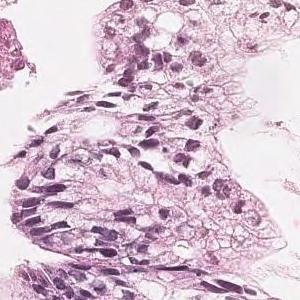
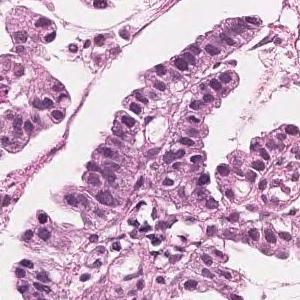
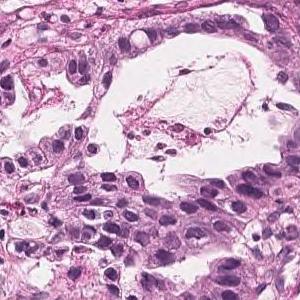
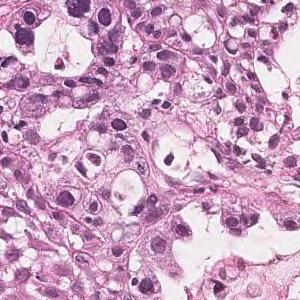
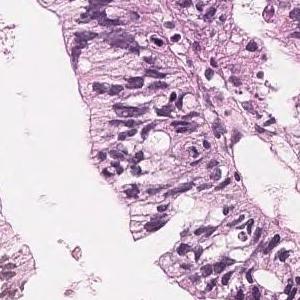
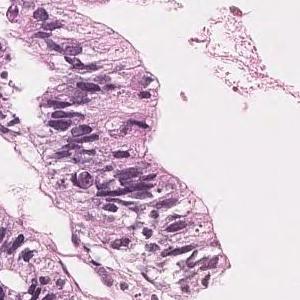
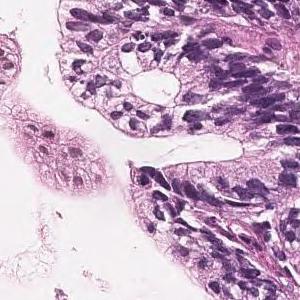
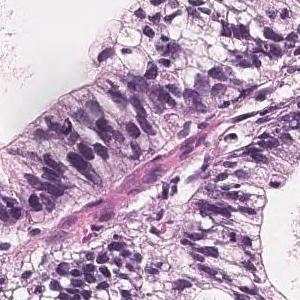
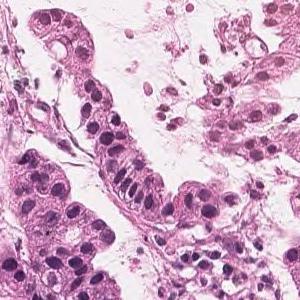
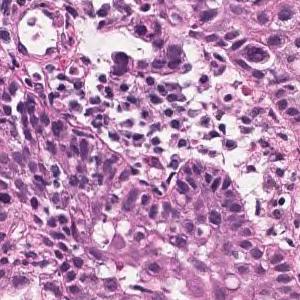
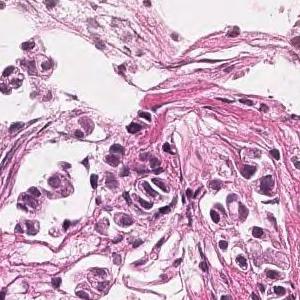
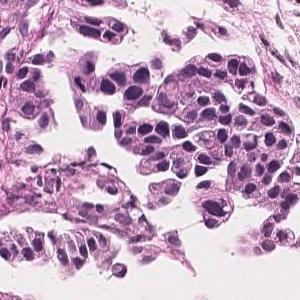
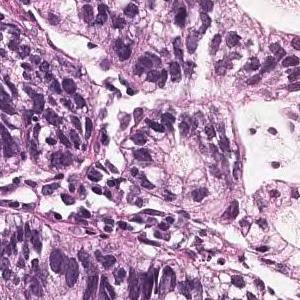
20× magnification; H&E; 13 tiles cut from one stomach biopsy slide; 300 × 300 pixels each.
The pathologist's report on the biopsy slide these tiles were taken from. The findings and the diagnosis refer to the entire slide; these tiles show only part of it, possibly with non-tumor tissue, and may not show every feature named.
Tumor cells are large, highly columnar, large club-shaped nuclei, and are associated with chromatin aggregation. Papillary adenocarcinoma.
